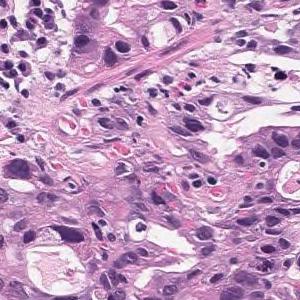
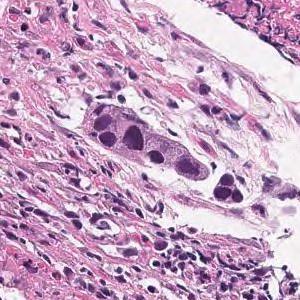
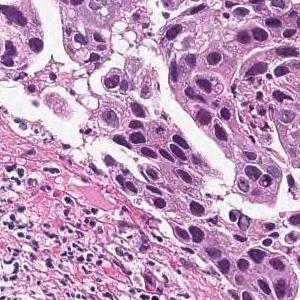
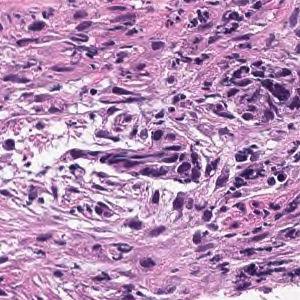
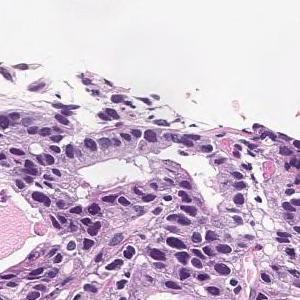
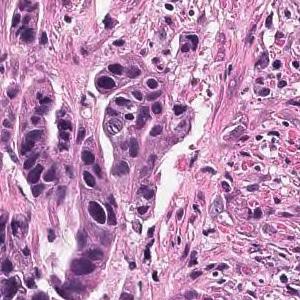
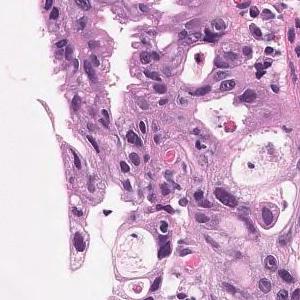
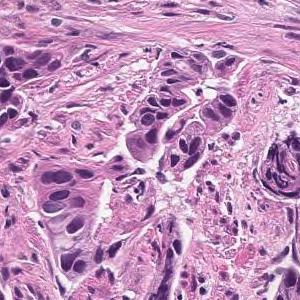
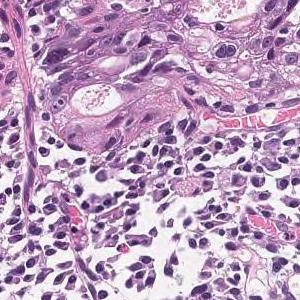
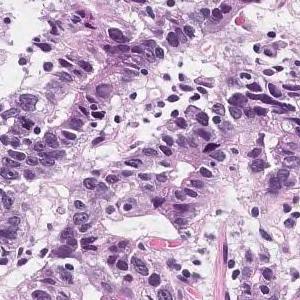
H&E stain; 10 image tiles from a single gastric biopsy slide.
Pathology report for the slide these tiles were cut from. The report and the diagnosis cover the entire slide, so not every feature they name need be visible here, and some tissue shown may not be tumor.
Tumor cells are large, highly columnar, large club-shaped nuclei, and are associated with chromatin aggregation. Papillary adenocarcinoma.
